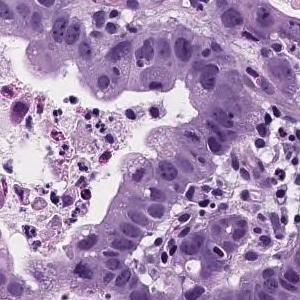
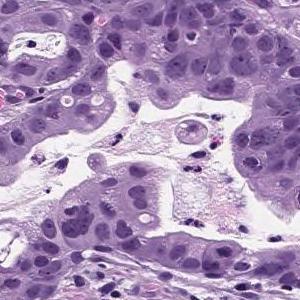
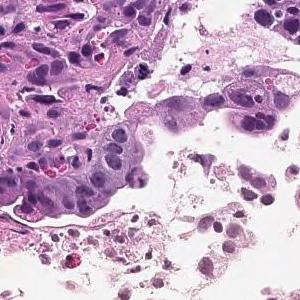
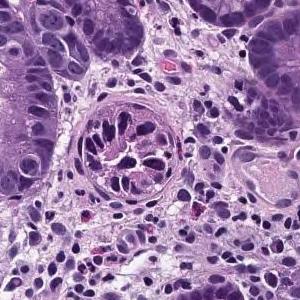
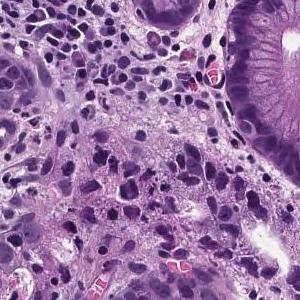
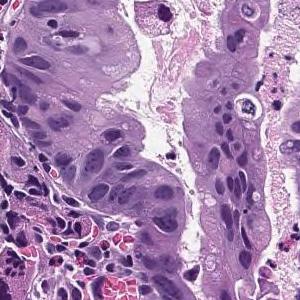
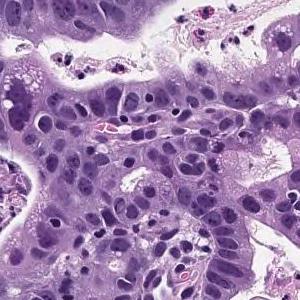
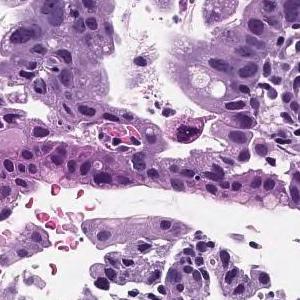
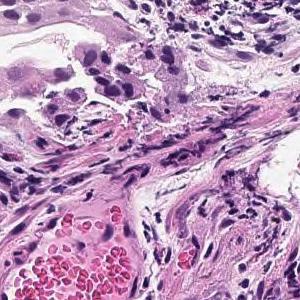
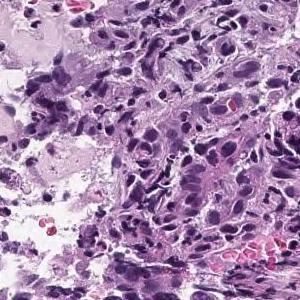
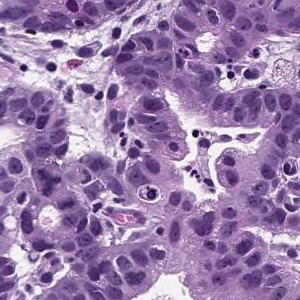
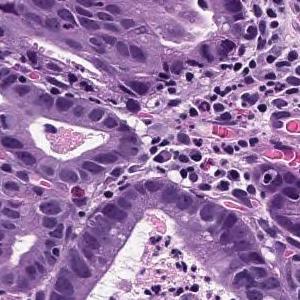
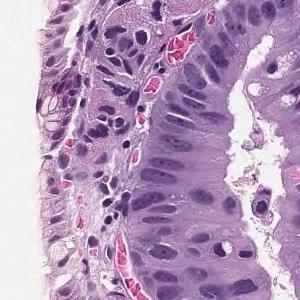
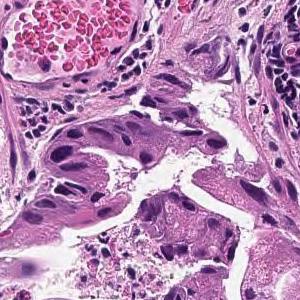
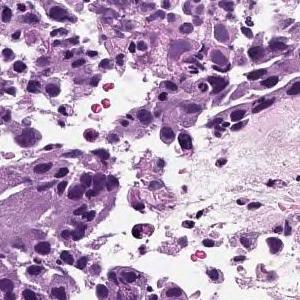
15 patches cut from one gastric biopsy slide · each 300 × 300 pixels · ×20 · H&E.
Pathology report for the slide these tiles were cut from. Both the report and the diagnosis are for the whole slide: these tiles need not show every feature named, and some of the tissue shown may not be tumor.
Tumor cells are large, highly columnar, large club-shaped nuclei, and are associated with chromatin aggregation. Papillary adenocarcinoma.
